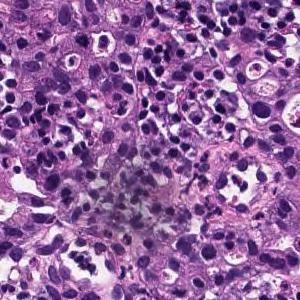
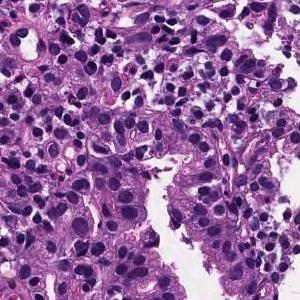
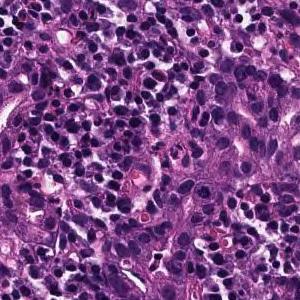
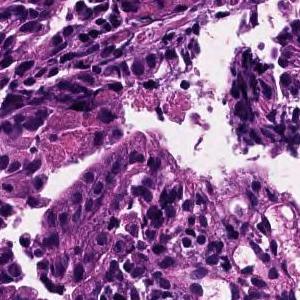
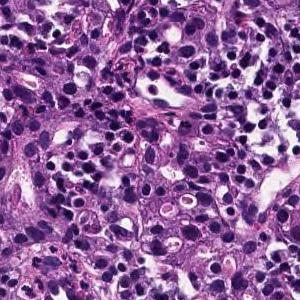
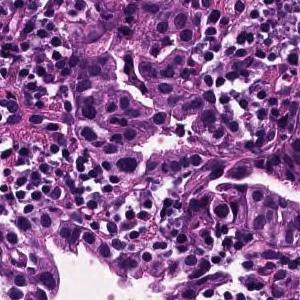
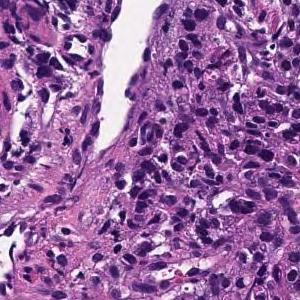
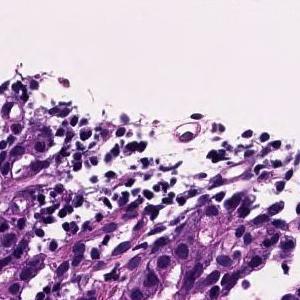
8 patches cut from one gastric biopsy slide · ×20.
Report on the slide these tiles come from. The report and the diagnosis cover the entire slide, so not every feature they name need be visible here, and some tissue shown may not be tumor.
Medium to small, irregular glandular ducts are formed in the superficial epithelium, and in some cases, the glandular ducts are fused to show solid alveolar lesions and infiltrating tumor tissue is observed. Moderately to poorly differentiated adenocarcinoma.
